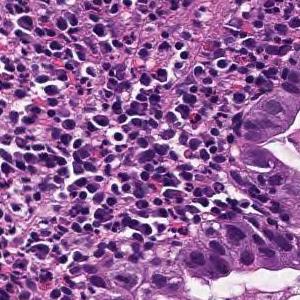
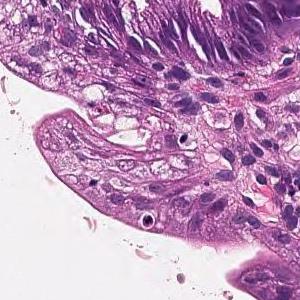
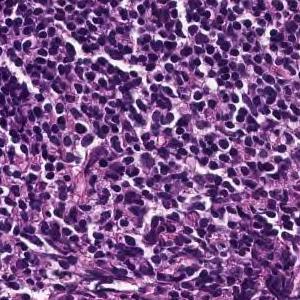
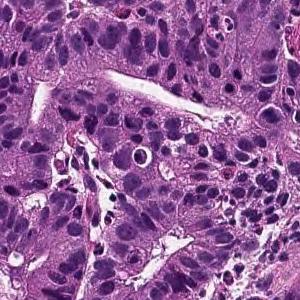
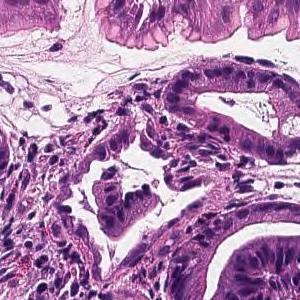
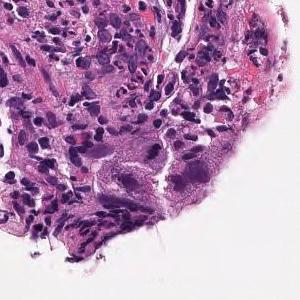
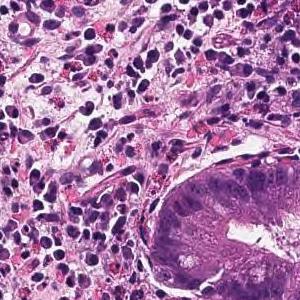
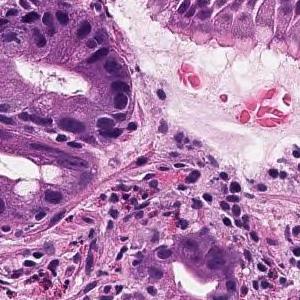
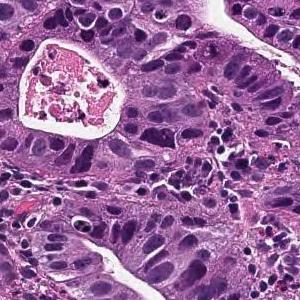
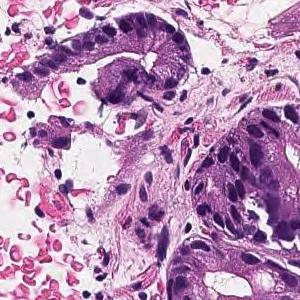
10 tiles from the same stomach biopsy slide; 300×300 px each; H&E stain.
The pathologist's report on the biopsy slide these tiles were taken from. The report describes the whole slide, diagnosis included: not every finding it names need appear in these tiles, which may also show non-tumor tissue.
From the superficial epithelium to the muscularis mucosae, tumor tissue consisting of medium-sized and irregular glandular ducts infiltrating is observed. Well differentiated tubular adenocarcinoma
